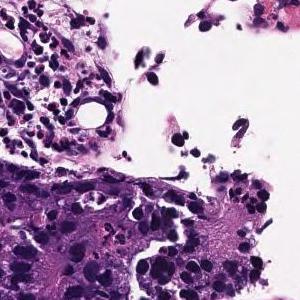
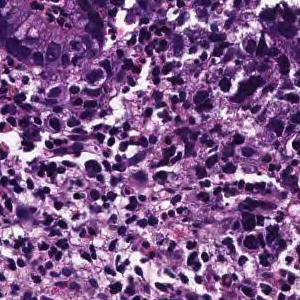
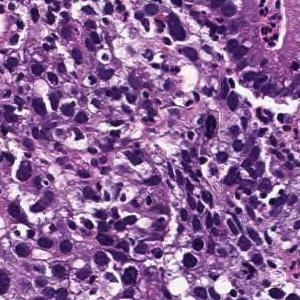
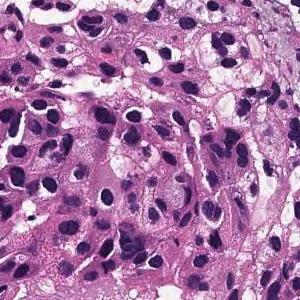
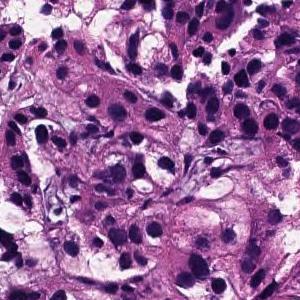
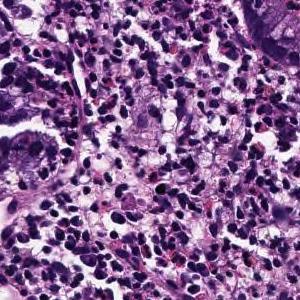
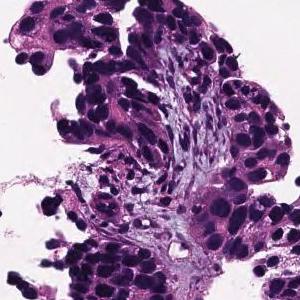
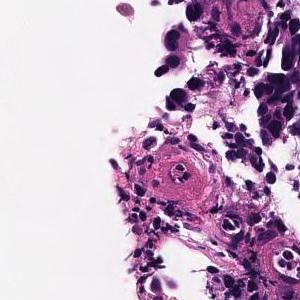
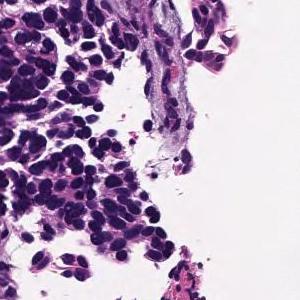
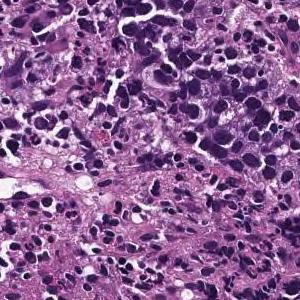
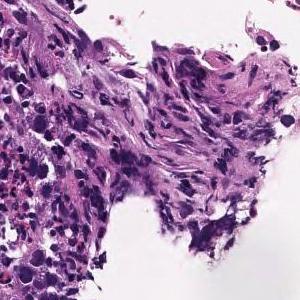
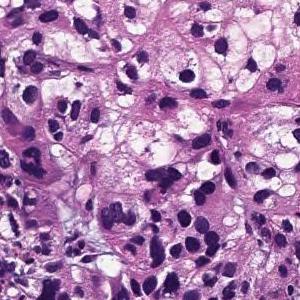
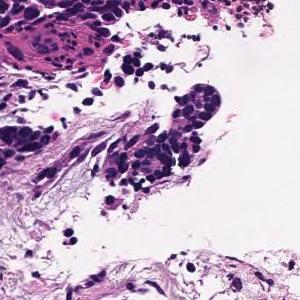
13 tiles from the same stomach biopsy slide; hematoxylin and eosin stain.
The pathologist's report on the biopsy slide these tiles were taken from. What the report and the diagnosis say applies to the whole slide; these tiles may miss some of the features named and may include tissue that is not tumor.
Medium to small, irregular glandular ducts are formed in the superficial epithelium, and in some cases, the glandular ducts are fused to show solid alveolar lesions and infiltrating tumor tissue is observed. Moderately to poorly differentiated adenocarcinoma.
